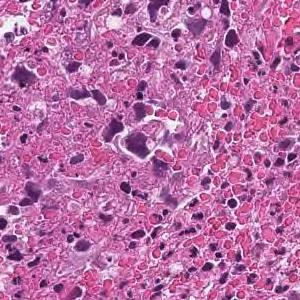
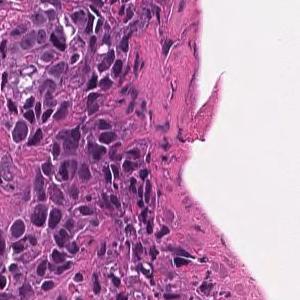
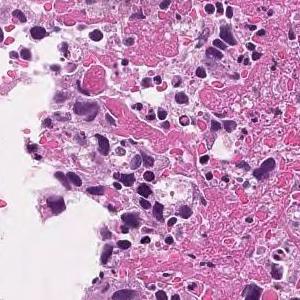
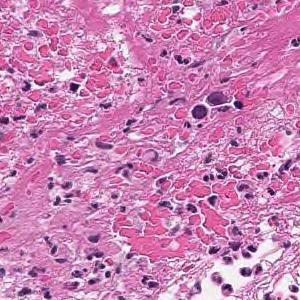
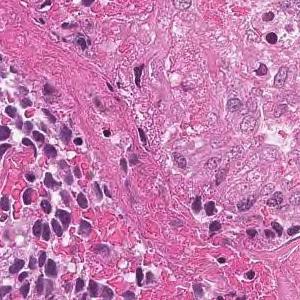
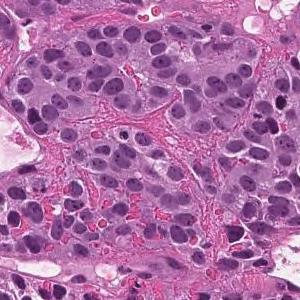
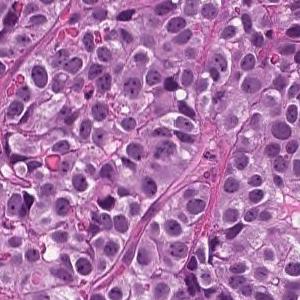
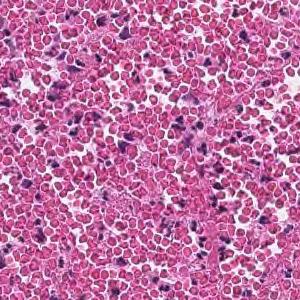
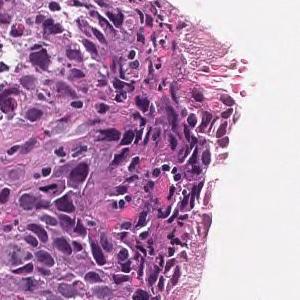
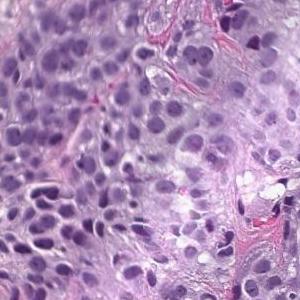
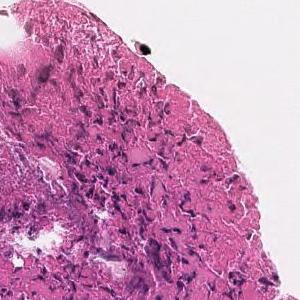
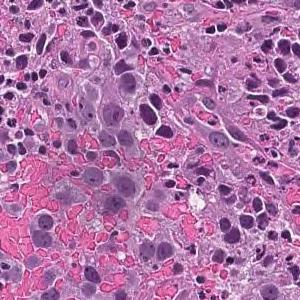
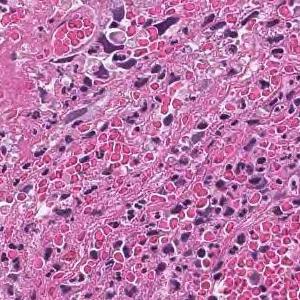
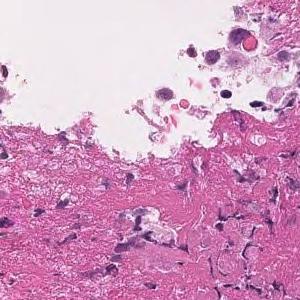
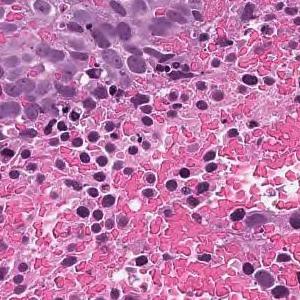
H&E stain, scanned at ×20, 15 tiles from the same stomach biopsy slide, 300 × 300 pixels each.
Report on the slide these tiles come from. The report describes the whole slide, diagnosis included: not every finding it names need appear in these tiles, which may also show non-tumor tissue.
The superficial epithelium shows a large sheet-like shape, and some tumor tissue infiltrates with small irregular ducts. Poorly differentiated adenocarcinoma, solid-type
Tumor subtype: poorly differentiated adenocarcinoma, solid type (Japanese Classification of Gastric Carcinoma). The WHO 2019 equivalent is tubular adenocarcinoma, poorly differentiated.
